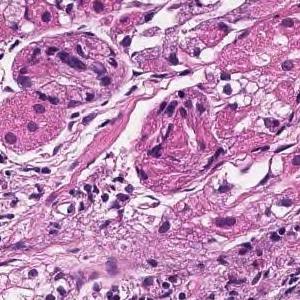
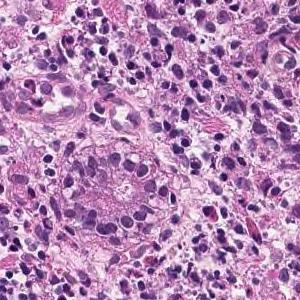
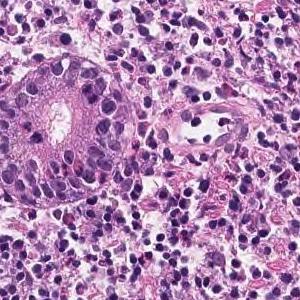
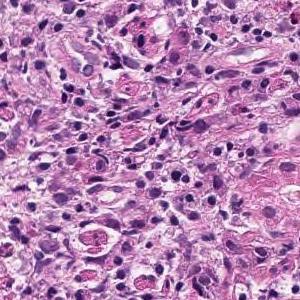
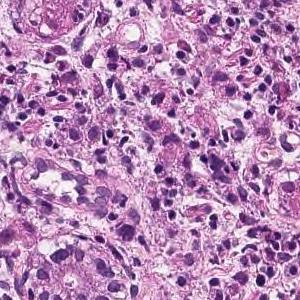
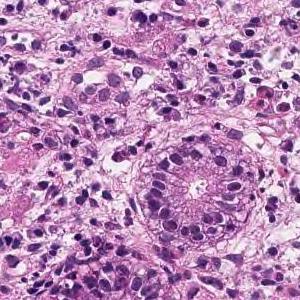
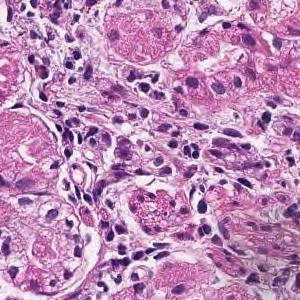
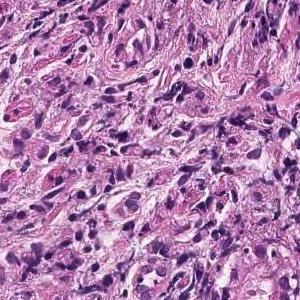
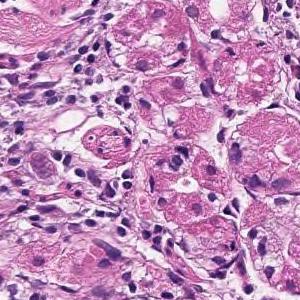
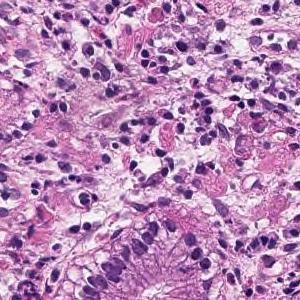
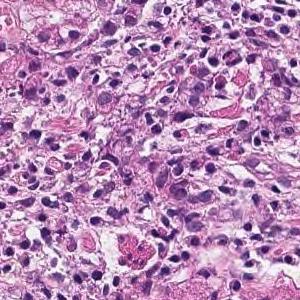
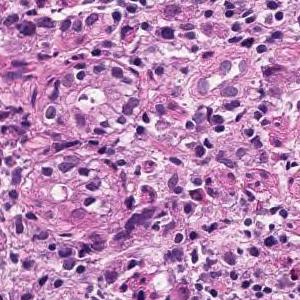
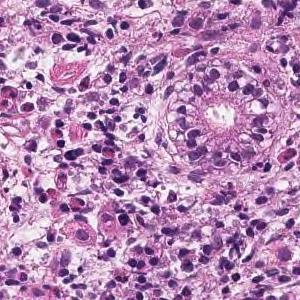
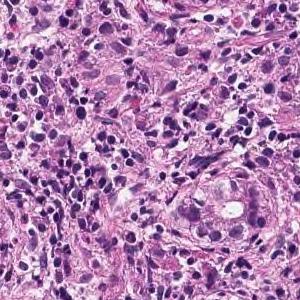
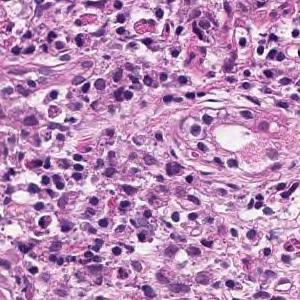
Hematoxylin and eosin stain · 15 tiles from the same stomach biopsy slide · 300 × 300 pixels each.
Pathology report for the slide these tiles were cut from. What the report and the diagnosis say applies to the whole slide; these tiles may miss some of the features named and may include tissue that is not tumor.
Tumor tissue consisting of cord-like or small, irregular glandular ducts fused and infiltrated is observed in the superficial epithelium. Poorly differentiated adenocarcinoma, non-solid type
The non-solid type named here is a Japanese Classification of Gastric Carcinoma category.
